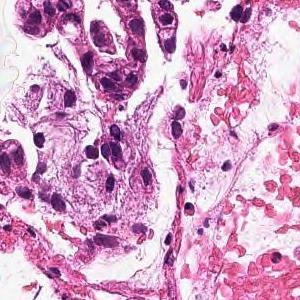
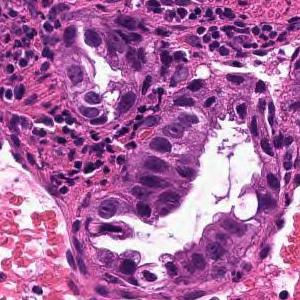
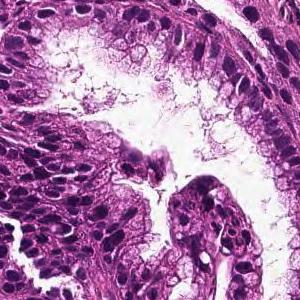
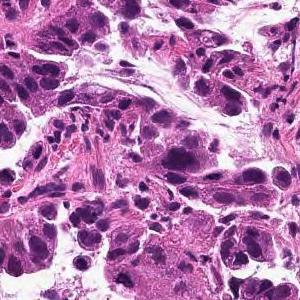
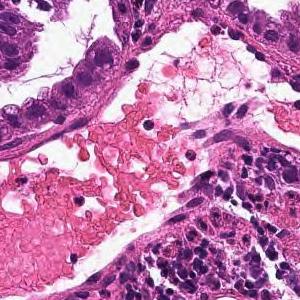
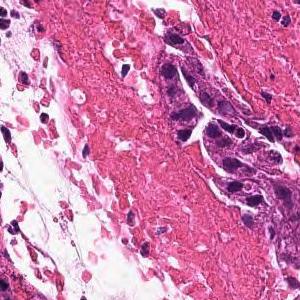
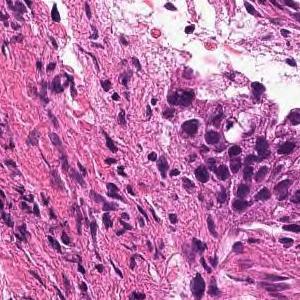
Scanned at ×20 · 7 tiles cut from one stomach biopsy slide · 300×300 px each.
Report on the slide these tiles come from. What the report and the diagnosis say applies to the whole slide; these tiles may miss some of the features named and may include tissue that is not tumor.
From the superficial epithelium to the muscularis mucosae, tumor tissue infiltrating by forming medium-sized irregular gland ducts is observed. Well differentiated tubular adenocarcinoma
